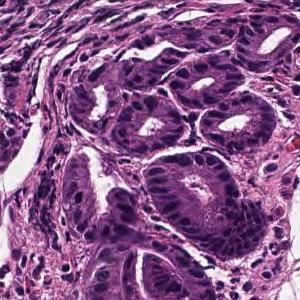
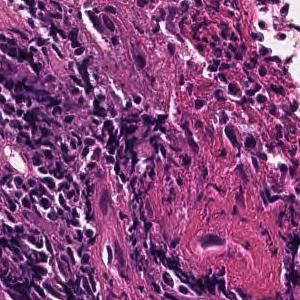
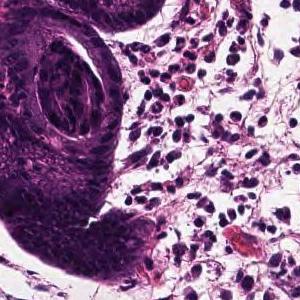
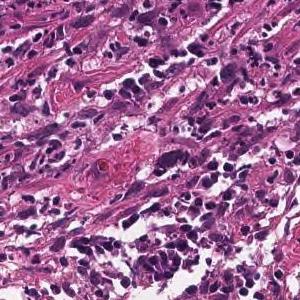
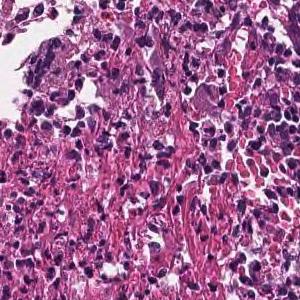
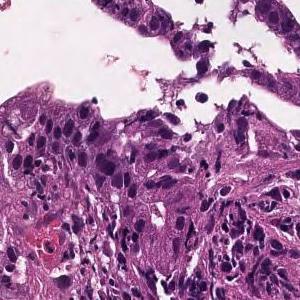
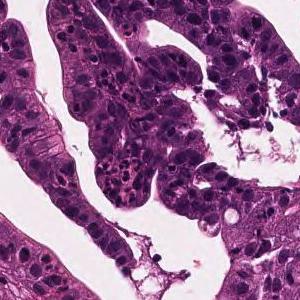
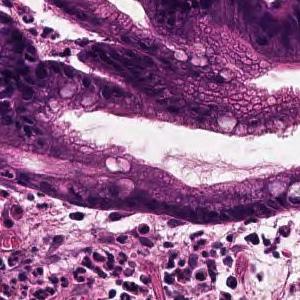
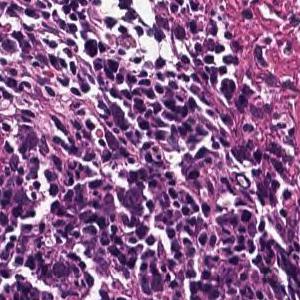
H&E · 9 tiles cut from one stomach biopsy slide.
The pathologist's report on the biopsy slide these tiles were taken from. The findings and the diagnosis refer to the entire slide; these tiles show only part of it, possibly with non-tumor tissue, and may not show every feature named.
Tumor tissue consisting of cord-like or small, irregular glandular ducts fused and infiltrated is observed in the superficial epithelium. Poorly differentiated adenocarcinoma, non-solid type
The term "non-solid type" comes from the Japanese Classification of Gastric Carcinoma.
